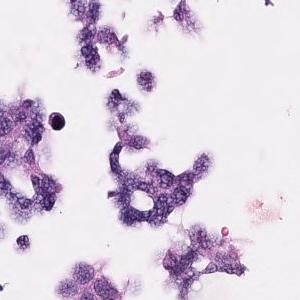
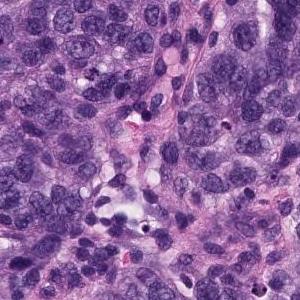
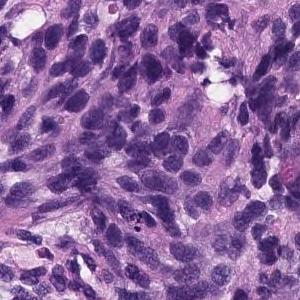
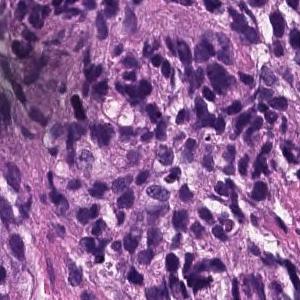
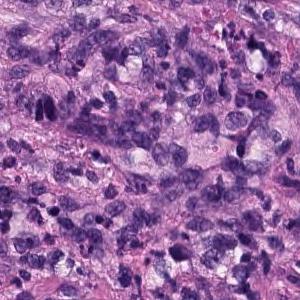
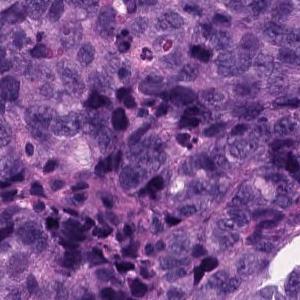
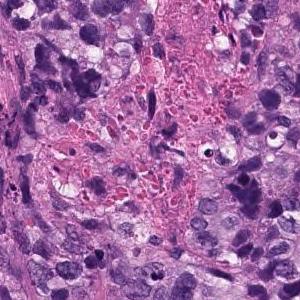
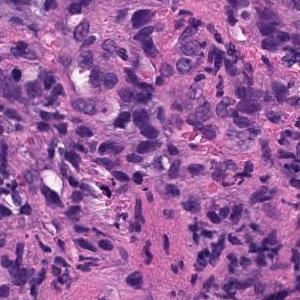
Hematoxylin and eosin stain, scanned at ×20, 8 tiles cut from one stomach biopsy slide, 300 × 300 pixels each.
Diagnostic report for the slide these tiles come from. The findings and the diagnosis refer to the entire slide; these tiles show only part of it, possibly with non-tumor tissue, and may not show every feature named.
Atypical l cells with atypical nuclei under the mucosa growing in isolation and scattered. Poorly differentiated adenocarcinoma (poorly differentiated adenocarcinoma, non-solid type)
Classified as poorly differentiated adenocarcinoma, non-solid type.
"Non-solid type" is a category of the Japanese Classification of Gastric Carcinoma.
